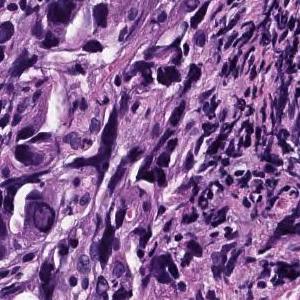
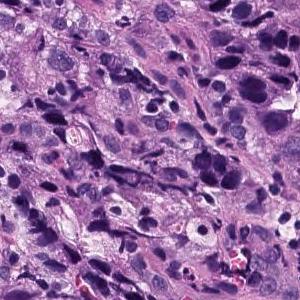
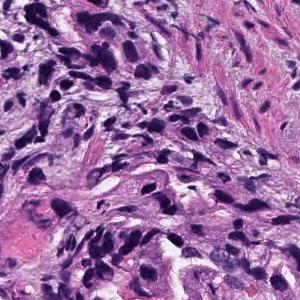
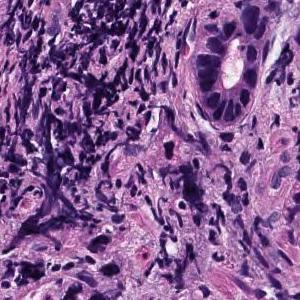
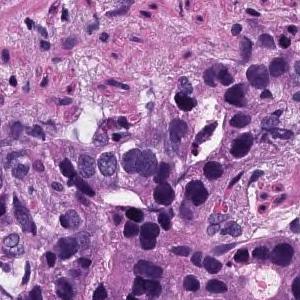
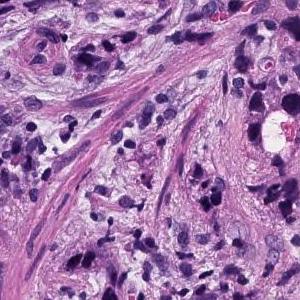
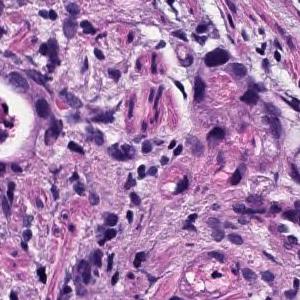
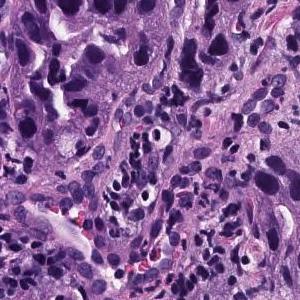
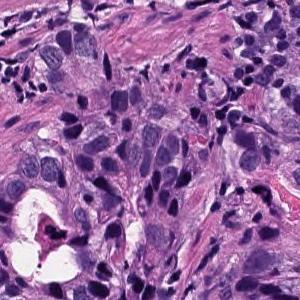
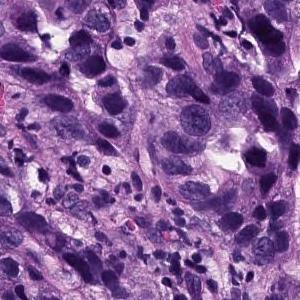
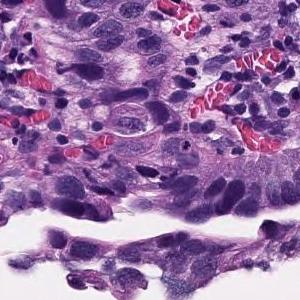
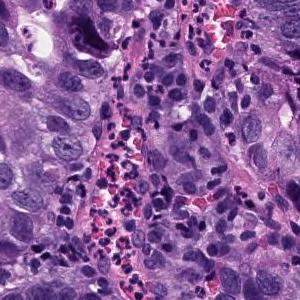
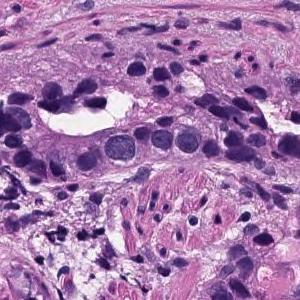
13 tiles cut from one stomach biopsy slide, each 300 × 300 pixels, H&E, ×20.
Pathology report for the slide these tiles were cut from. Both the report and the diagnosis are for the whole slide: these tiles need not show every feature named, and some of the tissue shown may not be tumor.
In the epithelium, tumor tissue in which medium to small irregular gland ducts fuse with each other and infiltrate the submucosa. moderately differentiated tubular adenocarcinoma
